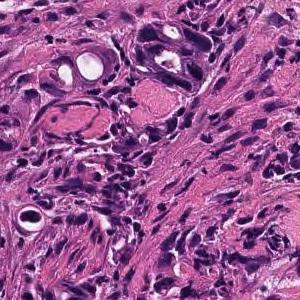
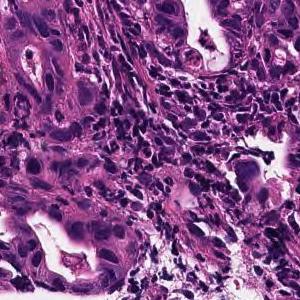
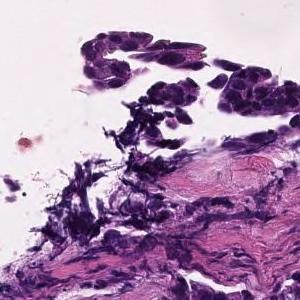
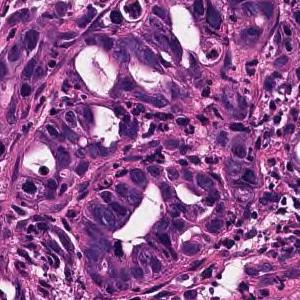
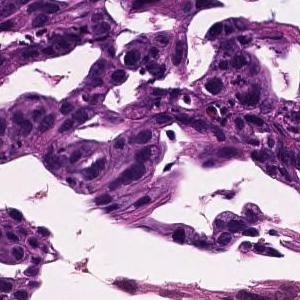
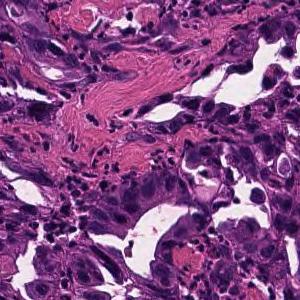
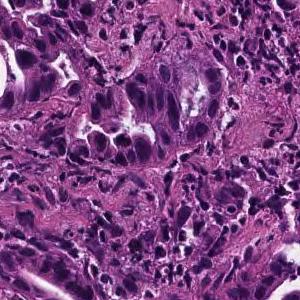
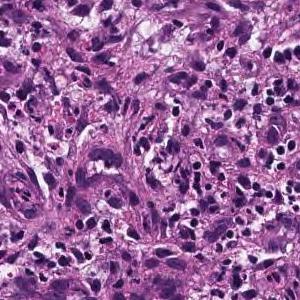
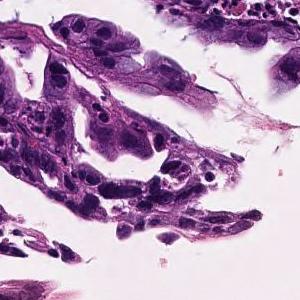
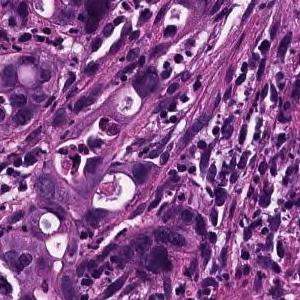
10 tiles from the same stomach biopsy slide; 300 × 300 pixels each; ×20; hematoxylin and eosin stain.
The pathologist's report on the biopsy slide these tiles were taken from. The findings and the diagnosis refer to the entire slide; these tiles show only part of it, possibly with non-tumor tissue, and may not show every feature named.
In the superficial epithelium, medium-sized to small irregular glandular ducts are formed, and in some cases, the glandular ducts are fused or small cord-like infiltrating tumor tissue is observed. moderately differentiated tubular adenocarcinoma
